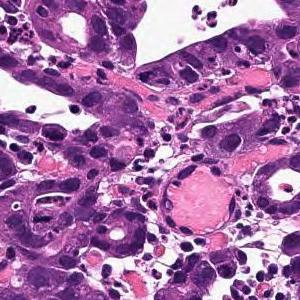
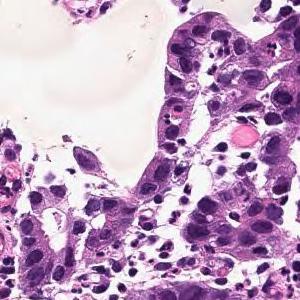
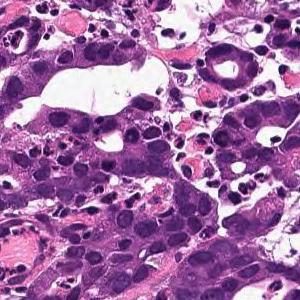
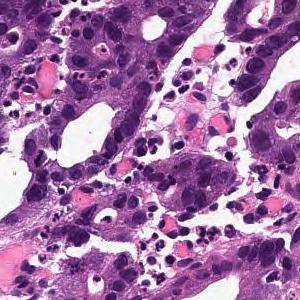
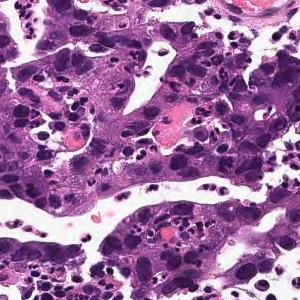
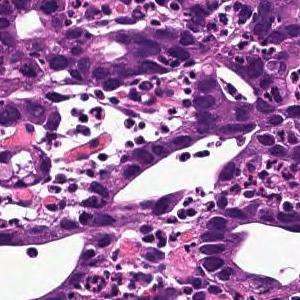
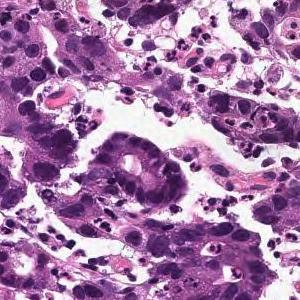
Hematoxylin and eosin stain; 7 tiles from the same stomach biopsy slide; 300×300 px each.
Diagnostic report for the slide these tiles come from. The findings and the diagnosis refer to the entire slide; these tiles show only part of it, possibly with non-tumor tissue, and may not show every feature named.
On the superficial epithelium, a tumor tissue consisting of a large, irregular glandular duct partially fused and infiltrating with a small alveolar shape is observed. Well or moderately differentiated tubular adenocarcinoma (well differentiated tubular adenocarcinoma, moderately differentiated tubular adenocarcinoma)
Subtype: Well to moderately differentiated tubular adenocarcinoma.
